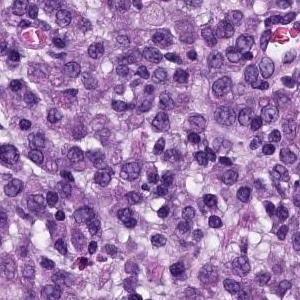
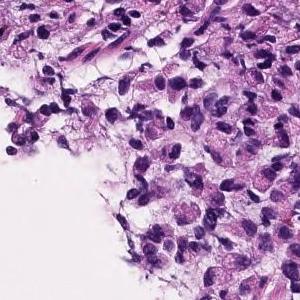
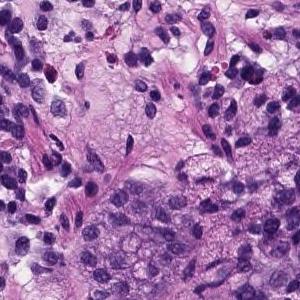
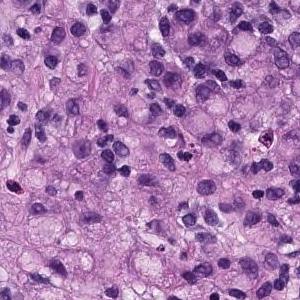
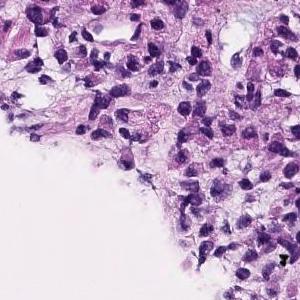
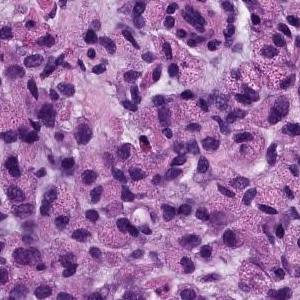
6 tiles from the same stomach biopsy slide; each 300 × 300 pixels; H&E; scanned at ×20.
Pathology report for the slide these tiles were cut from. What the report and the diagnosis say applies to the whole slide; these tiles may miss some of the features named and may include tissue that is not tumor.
The superficial epithelium shows a large sheet-like shape, and some tumor tissue infiltrates with small irregular ducts. Poorly differentiated adenocarcinoma, solid-type
Histological subtype: Poorly differentiated adenocarcinoma, solid type (Japanese Classification of Gastric Carcinoma). The WHO 2019 equivalent is tubular adenocarcinoma, poorly differentiated.
